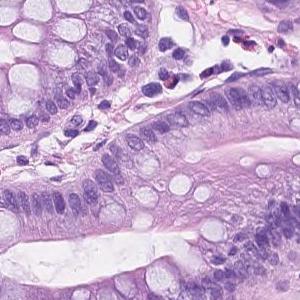
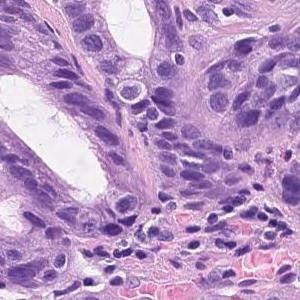
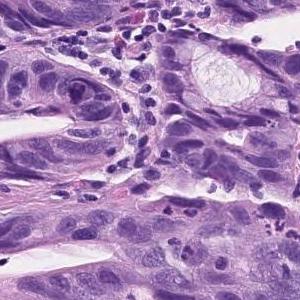
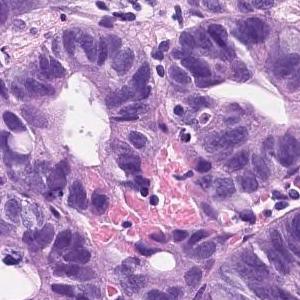
4 tiles from the same stomach biopsy slide, 300 × 300 pixels each, H&E, 20× magnification.
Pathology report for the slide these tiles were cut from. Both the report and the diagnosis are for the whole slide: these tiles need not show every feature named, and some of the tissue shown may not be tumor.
Tumor tissue consisting of medium-sized and irregular ducts is observed infiltrating in the superficial epithelium. Tumor cells are highly columnar, with nuclei aligned basolaterally and polarized. Well differentiated tubular adenocarcinoma.
